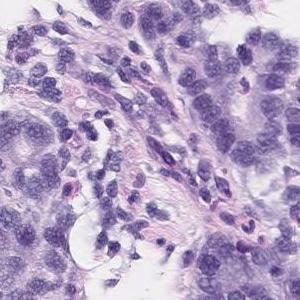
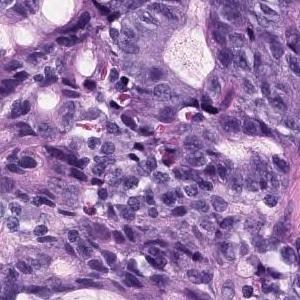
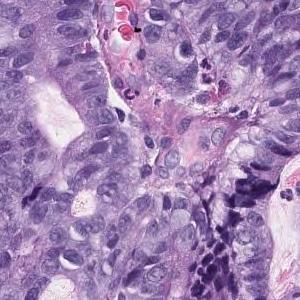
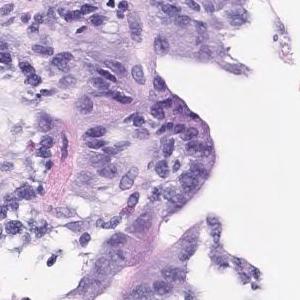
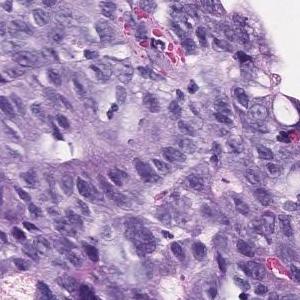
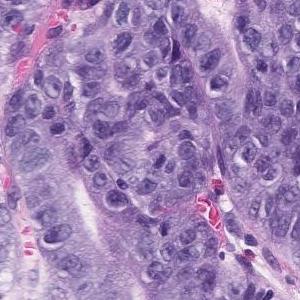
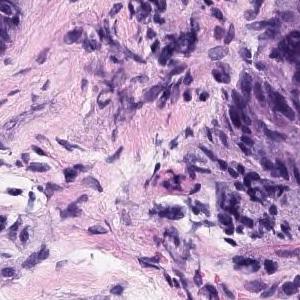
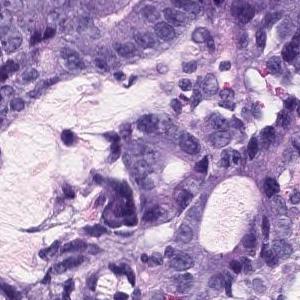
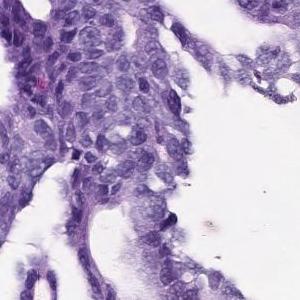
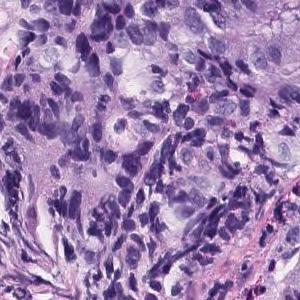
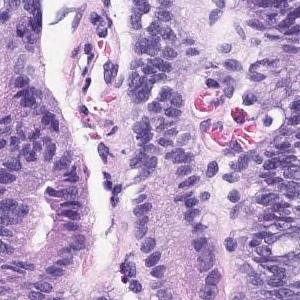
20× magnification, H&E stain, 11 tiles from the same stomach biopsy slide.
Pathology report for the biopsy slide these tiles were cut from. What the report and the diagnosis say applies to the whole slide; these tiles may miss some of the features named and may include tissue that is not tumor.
In the superficial epithelium, tumor tissue that invades by forming medium-sized to small, irregular ducts is observed. Well to moderately differentiated tubular adenocarcinoma.
